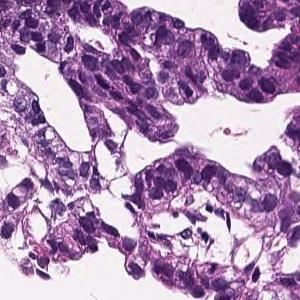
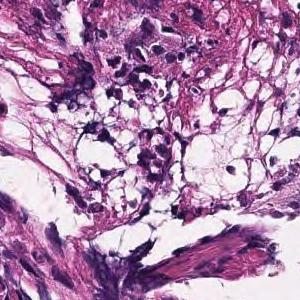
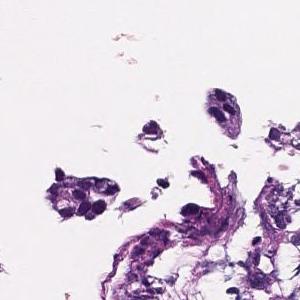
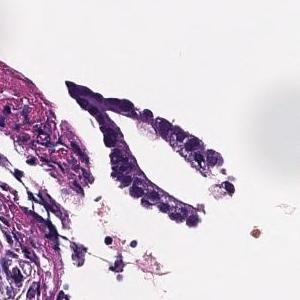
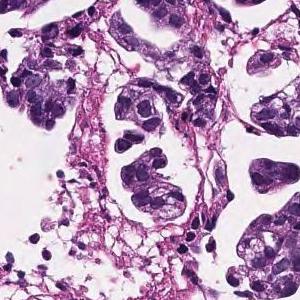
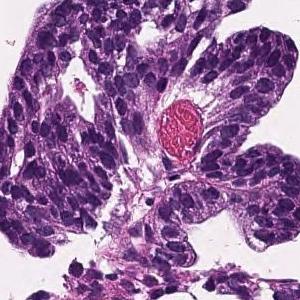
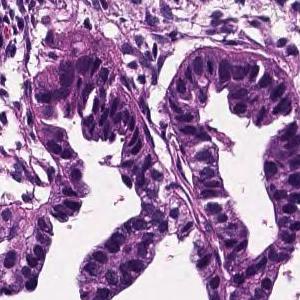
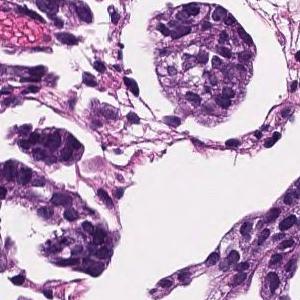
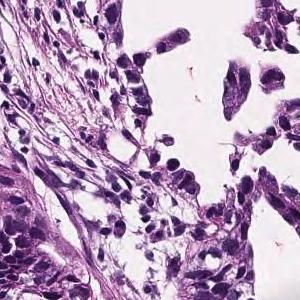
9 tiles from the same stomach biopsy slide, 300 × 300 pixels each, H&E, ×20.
Diagnostic report for the slide these tiles come from. The report describes the whole slide, diagnosis included: not every finding it names need appear in these tiles, which may also show non-tumor tissue.
In the lamina propria, tumor tissue that invades by forming medium-sized to small, irregular glandular ducts is observed. moderately differentiated tubular adenocarcinoma
